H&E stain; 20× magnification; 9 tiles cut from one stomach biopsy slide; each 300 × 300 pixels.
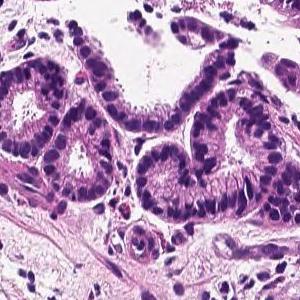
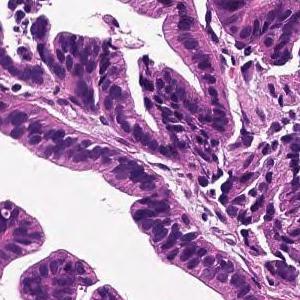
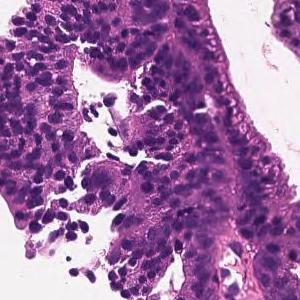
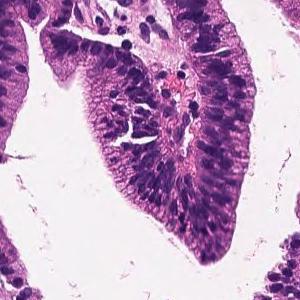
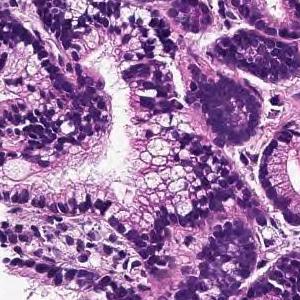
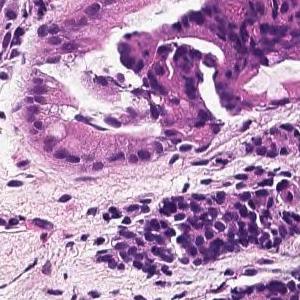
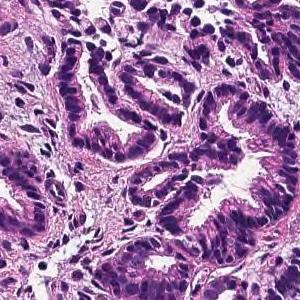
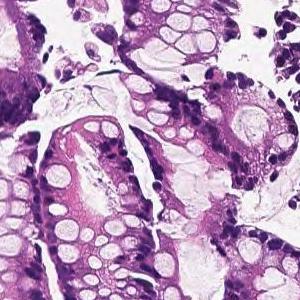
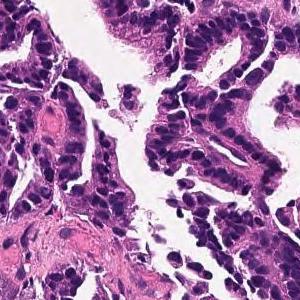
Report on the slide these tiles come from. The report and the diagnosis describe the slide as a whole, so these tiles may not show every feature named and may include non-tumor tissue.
On the superficial epithelium, tumor tissue consisting of large irregular glandular ducts partially fused and infiltrated is observed. Well to moderately differentiated tubular adenocarcinoma (well differentiated tubular adenocarcinoma, moderately differentiated tubular adenocarcinoma)
Classified as well to moderately differentiated tubular adenocarcinoma.
